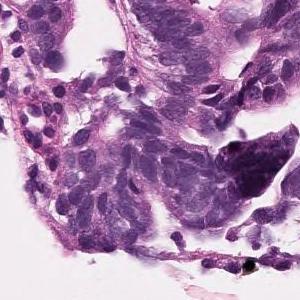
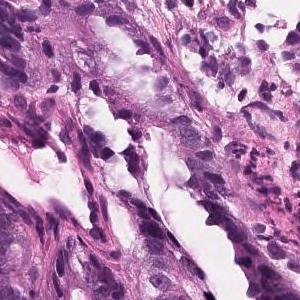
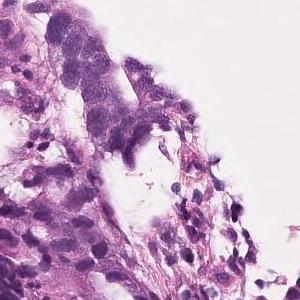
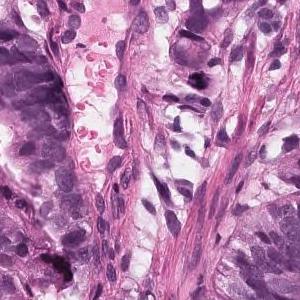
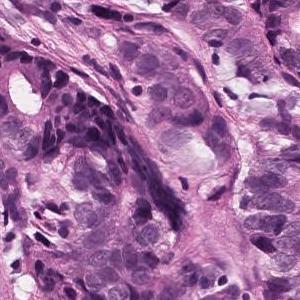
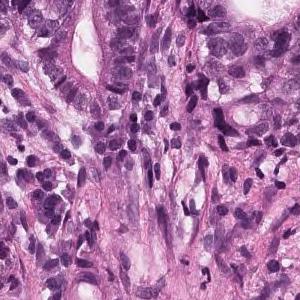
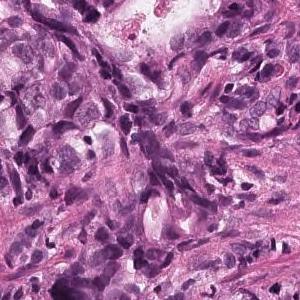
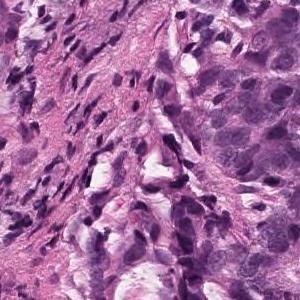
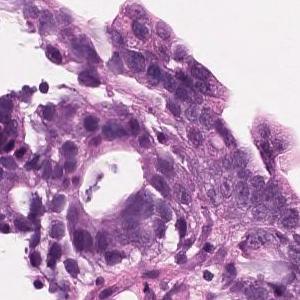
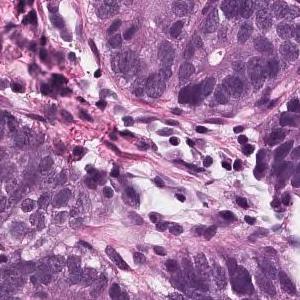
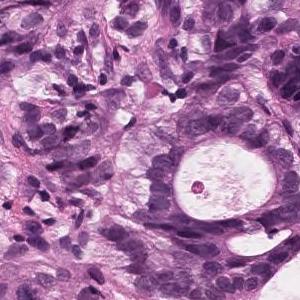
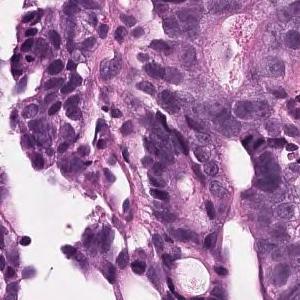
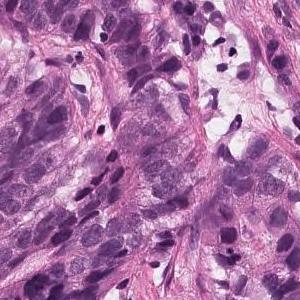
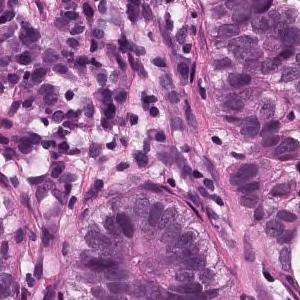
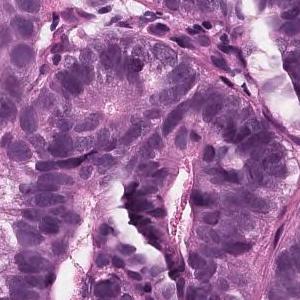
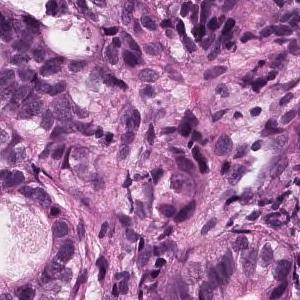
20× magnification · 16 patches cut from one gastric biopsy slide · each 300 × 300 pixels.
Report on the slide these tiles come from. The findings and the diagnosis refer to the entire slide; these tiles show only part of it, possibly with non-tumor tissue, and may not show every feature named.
On the superficial epithelium, tumor tissue consisting of large, irregular glandular ducts partially fused and infiltrated is observed. Well to moderately differentiated tubular adenocarcinoma (well differentiated tubular adenocarcinoma, moderately differentiated tubular adenocarcinoma)
Histological subtype: Well to moderately differentiated tubular adenocarcinoma.
